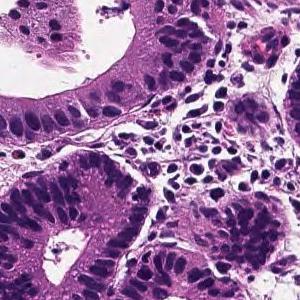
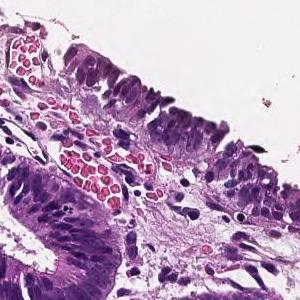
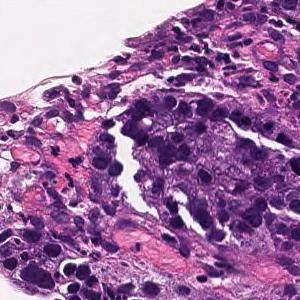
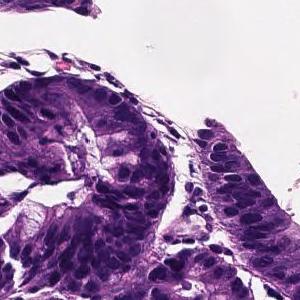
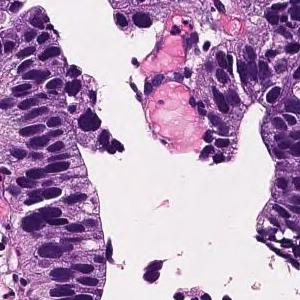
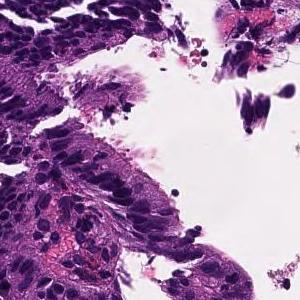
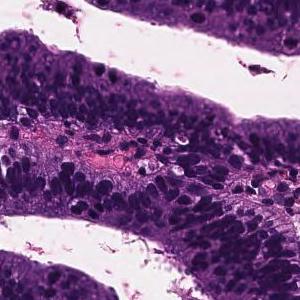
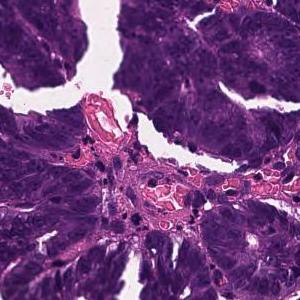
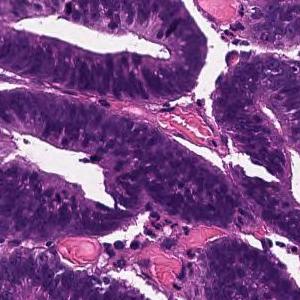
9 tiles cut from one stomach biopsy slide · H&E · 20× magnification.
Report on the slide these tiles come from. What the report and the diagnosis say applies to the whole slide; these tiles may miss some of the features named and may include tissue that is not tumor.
Tumor tissue consisting of large papillary structures is found in the superficial epithelium. Papillary adenocarcinoma.
